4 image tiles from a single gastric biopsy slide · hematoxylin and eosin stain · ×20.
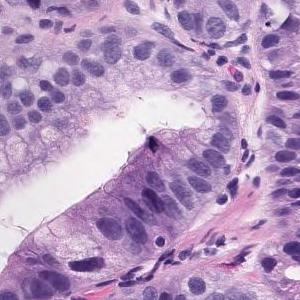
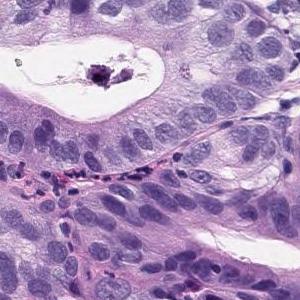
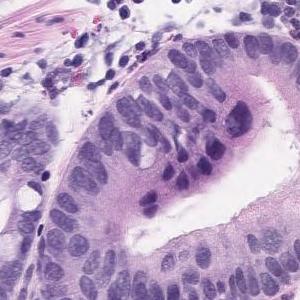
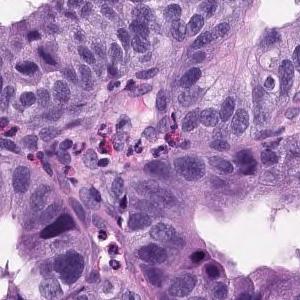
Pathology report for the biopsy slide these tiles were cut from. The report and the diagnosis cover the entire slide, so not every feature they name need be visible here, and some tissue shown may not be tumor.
Tumor tissue consisting of medium-sized and irregular ducts is observed infiltrating in the superficial epithelium. Tumor cells are highly columnar, with nuclei aligned basolaterally and polarized. Well differentiated tubular adenocarcinoma.
